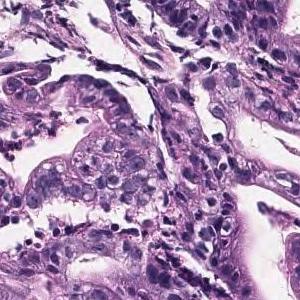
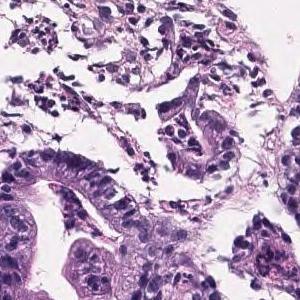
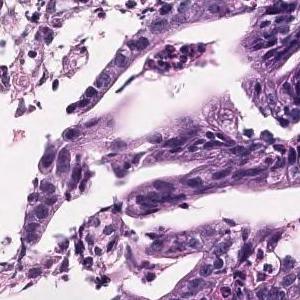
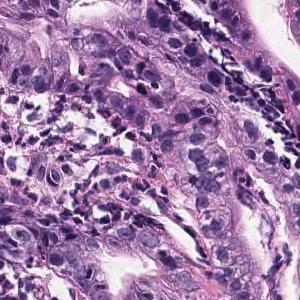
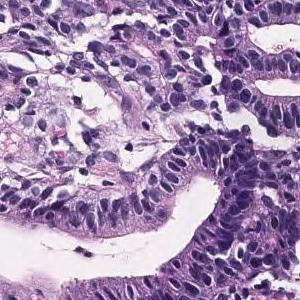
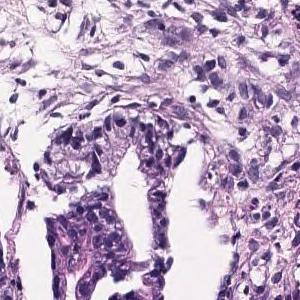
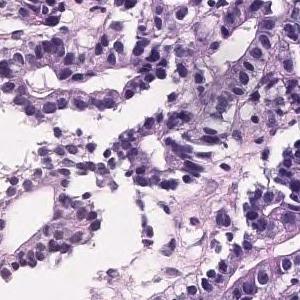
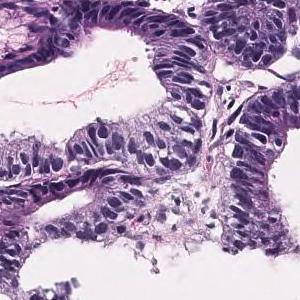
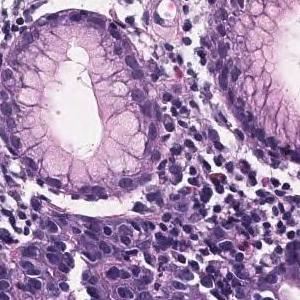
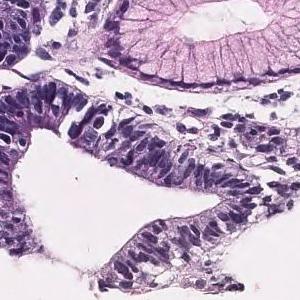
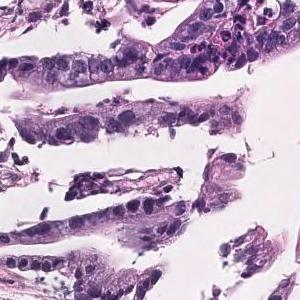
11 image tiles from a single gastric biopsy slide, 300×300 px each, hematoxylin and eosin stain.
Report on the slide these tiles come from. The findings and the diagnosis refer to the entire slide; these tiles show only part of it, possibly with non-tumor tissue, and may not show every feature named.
Tumor tissue in which highly columnar atypical epithelial cells with nuclear enlargement and increased nuclear chromatin show papillary to papillary ductal structure and proliferate is observed. Papillary adenocarcinoma.
